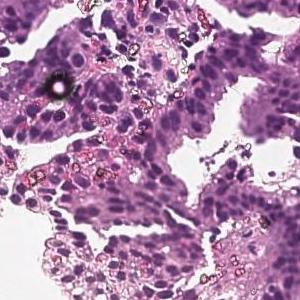
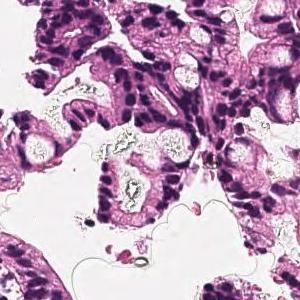
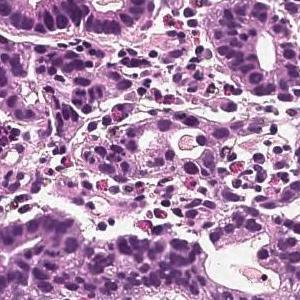
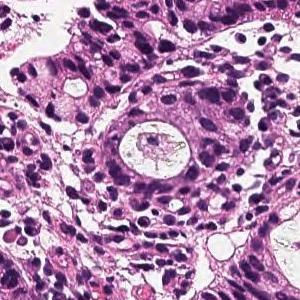
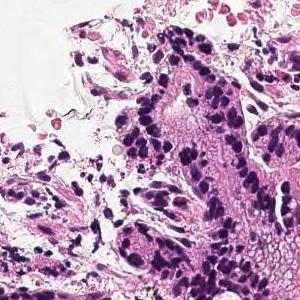
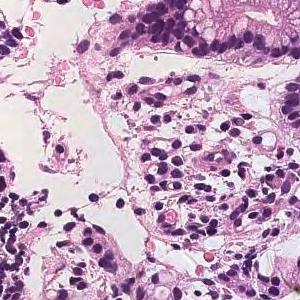
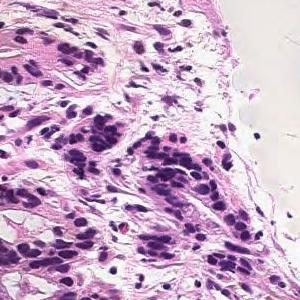
7 image tiles from a single gastric biopsy slide; each 300 × 300 pixels; H&E.
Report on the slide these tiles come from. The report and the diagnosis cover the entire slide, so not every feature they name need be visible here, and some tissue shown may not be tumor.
In the superficial epithelium, tumor tissue that invades by forming medium-sized to small, irregular ducts is observed. moderately differentiated tubular adenocarcinoma.
